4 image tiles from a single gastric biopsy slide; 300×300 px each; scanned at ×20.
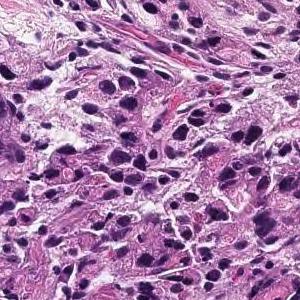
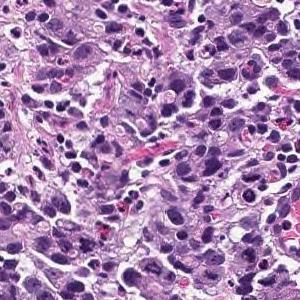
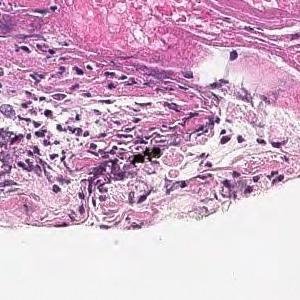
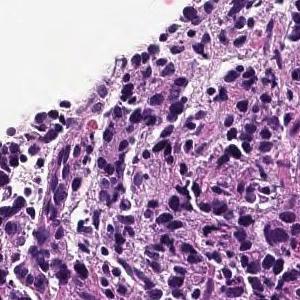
Pathology report for the biopsy slide these tiles were cut from. The findings and the diagnosis refer to the entire slide; these tiles show only part of it, possibly with non-tumor tissue, and may not show every feature named.
Tumor tissue consisting of cord-like or small, irregular glandular ducts fused and infiltrated is observed in the superficial epithelium. Poorly differentiated adenocarcinoma, non-solid type
The non-solid type named here is a Japanese Classification of Gastric Carcinoma category.
